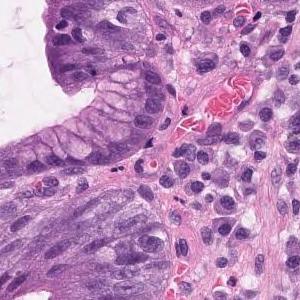
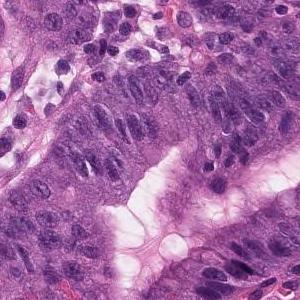
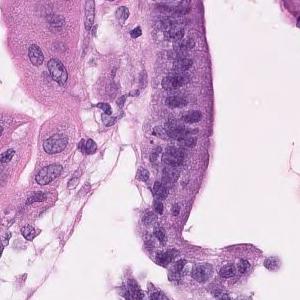
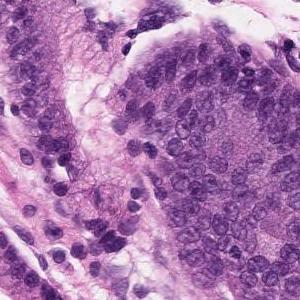
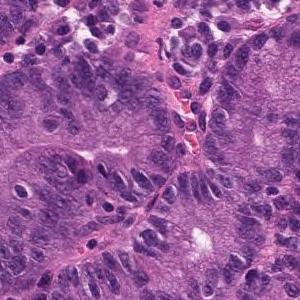
5 tiles from the same stomach biopsy slide · 300×300 px each.
Pathology report for the biopsy slide these tiles were cut from. The report and the diagnosis cover the entire slide, so not every feature they name need be visible here, and some tissue shown may not be tumor.
On the superficial epithelium, tumor tissue consisting of large, irregular glandular ducts partially fused and infiltrated is observed. Well to moderately differentiated tubular adenocarcinoma (well differentiated tubular adenocarcinoma, moderately differentiated tubular adenocarcinoma)
Classified as well to moderately differentiated tubular adenocarcinoma.
